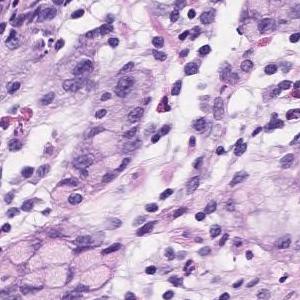
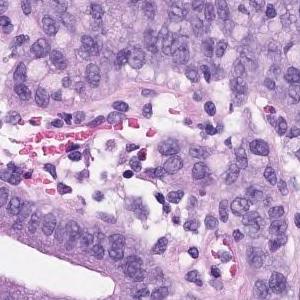
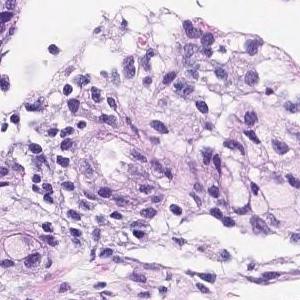
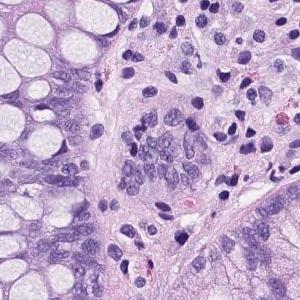
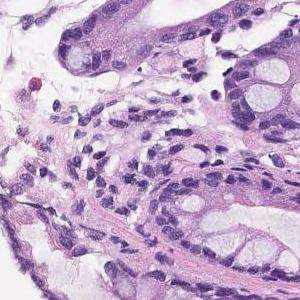
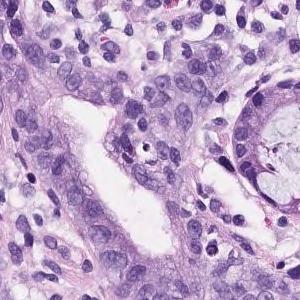
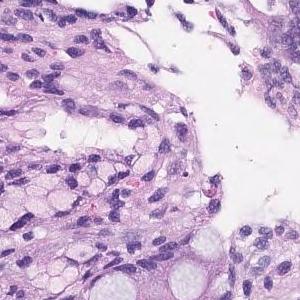
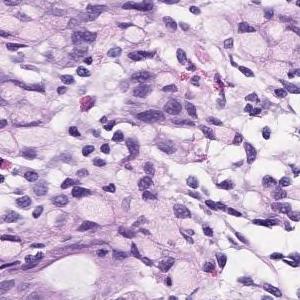
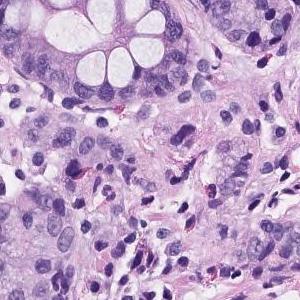
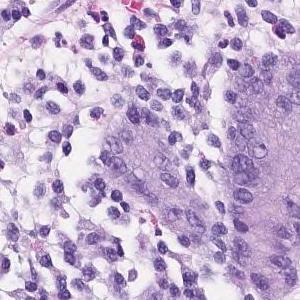
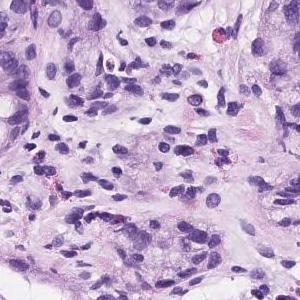
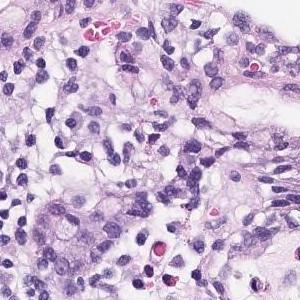
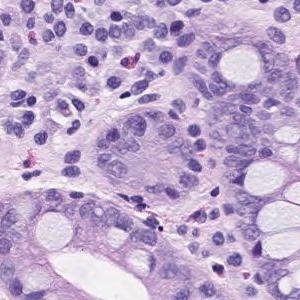
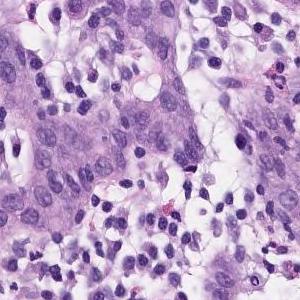
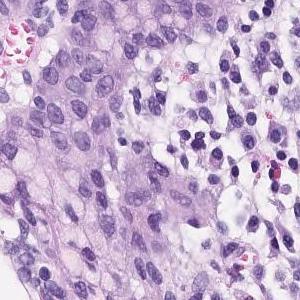
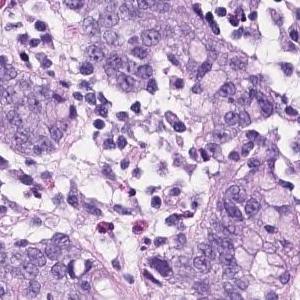
20× magnification · 16 patches cut from one gastric biopsy slide · each 300 × 300 pixels.
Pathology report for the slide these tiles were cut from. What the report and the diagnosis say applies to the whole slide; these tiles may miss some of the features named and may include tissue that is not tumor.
Atypical l cells with atypical nuclei forming diffuse or small irregular atypical ducts and growing. Moderately to poorly differentiated adenocarcinoma (poorly differentiated adenocarcinoma, solid type moderately differentiated tubular adenocarcinoma)
Histologic type: Moderately to poorly differentiated adenocarcinoma.
The term "solid type" comes from the Japanese Classification of Gastric Carcinoma; the WHO 2019 equivalent is tubular adenocarcinoma, poorly differentiated.
